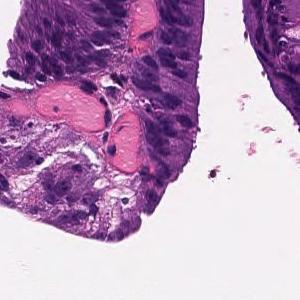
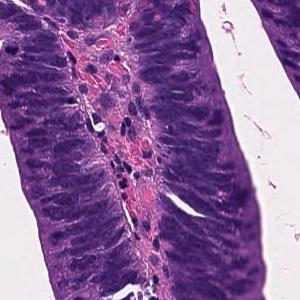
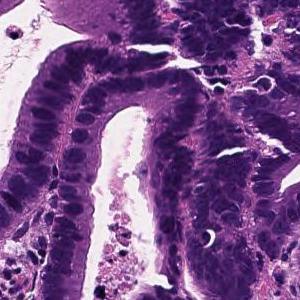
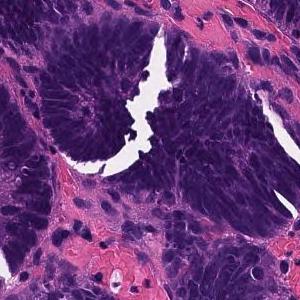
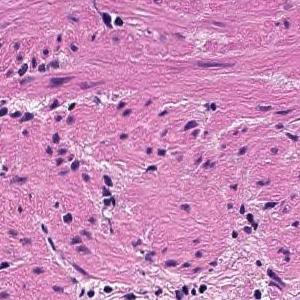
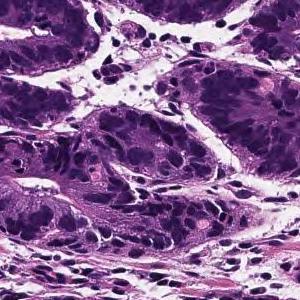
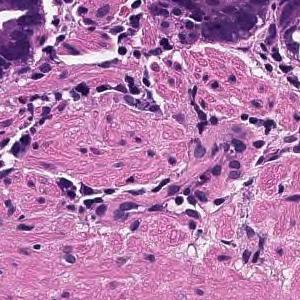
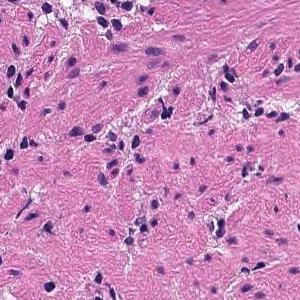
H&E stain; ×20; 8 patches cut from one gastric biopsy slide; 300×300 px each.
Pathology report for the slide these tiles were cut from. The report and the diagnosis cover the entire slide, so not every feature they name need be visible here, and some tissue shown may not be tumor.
Tumor tissue consisting of large papillary structures is found in the superficial epithelium. Papillary adenocarcinoma.
